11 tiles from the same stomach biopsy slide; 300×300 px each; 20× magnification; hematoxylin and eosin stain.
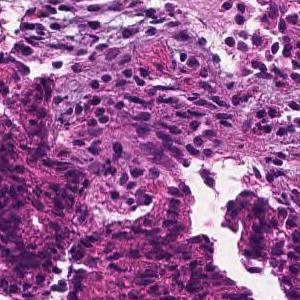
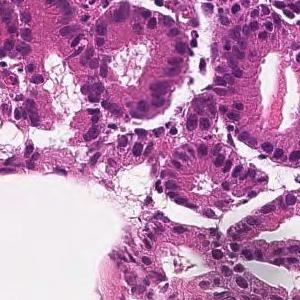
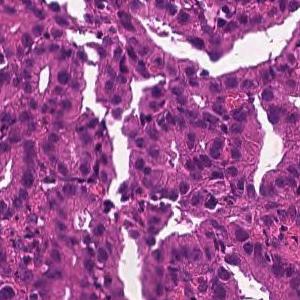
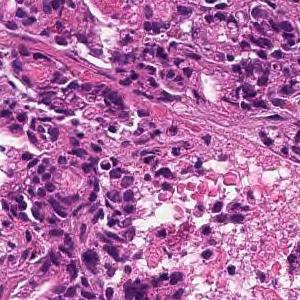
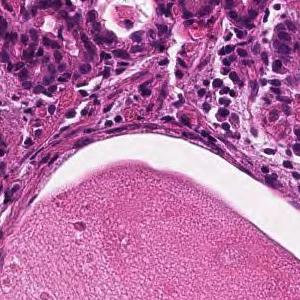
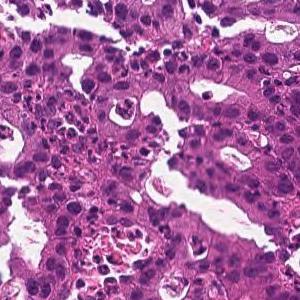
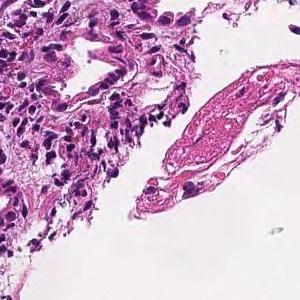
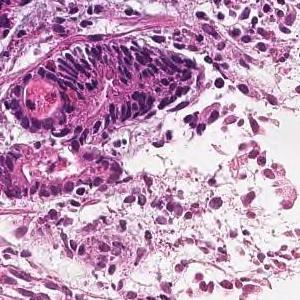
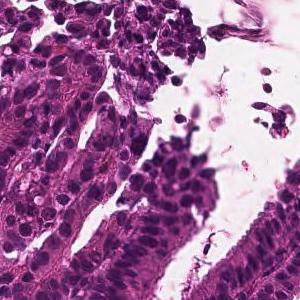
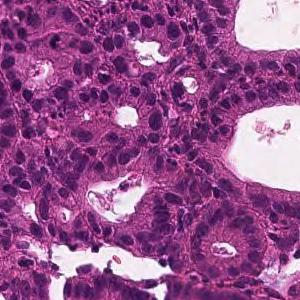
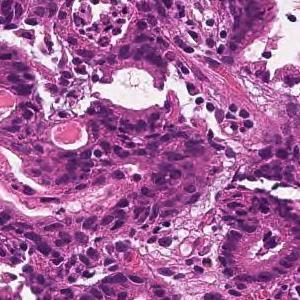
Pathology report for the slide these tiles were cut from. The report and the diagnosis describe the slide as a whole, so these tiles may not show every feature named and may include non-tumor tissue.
From the superficial epithelium to the muscularis mucosae, tumor tissue consisting of medium-sized and irregular glandular ducts infiltrating is observed. Well differentiated tubular adenocarcinoma
